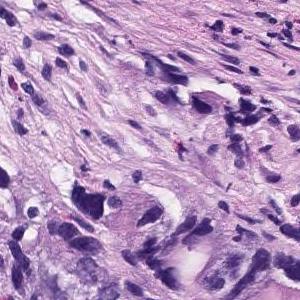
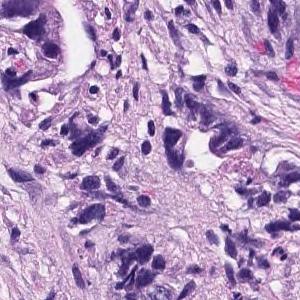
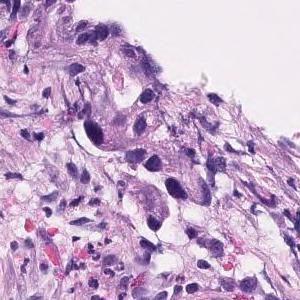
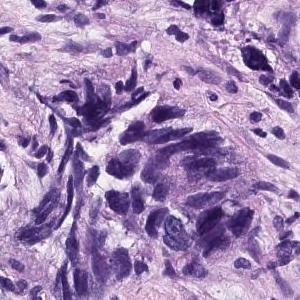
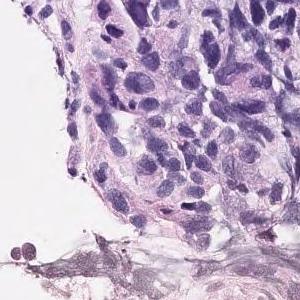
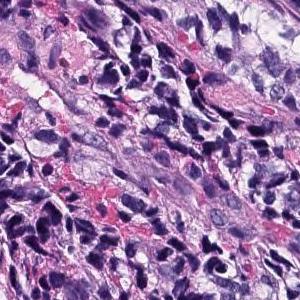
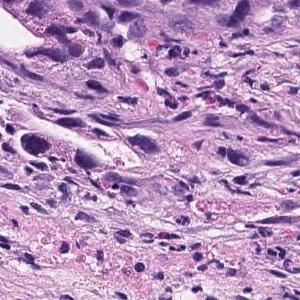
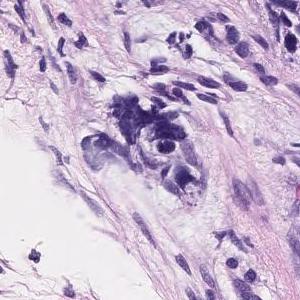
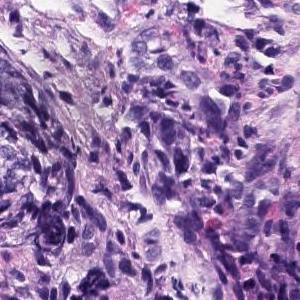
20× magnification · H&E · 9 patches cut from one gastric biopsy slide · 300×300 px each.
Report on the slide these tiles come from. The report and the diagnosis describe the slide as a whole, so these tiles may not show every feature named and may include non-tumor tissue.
The superficial epithelium shows small cord-like infiltrating tumor tissue. Some part of neoplastic cells are signet ring cell type which show single invasion manner. Poorly differentiated adenocarcinoma, non-solid type.
"Non-solid type" is a category of the Japanese Classification of Gastric Carcinoma.
